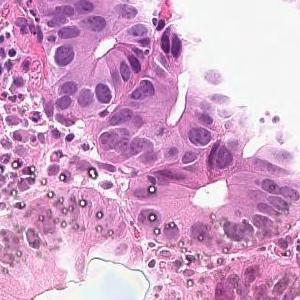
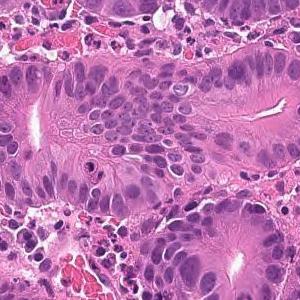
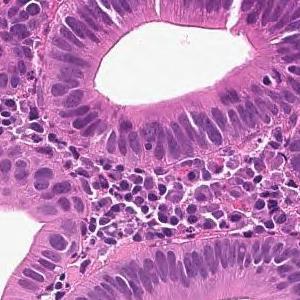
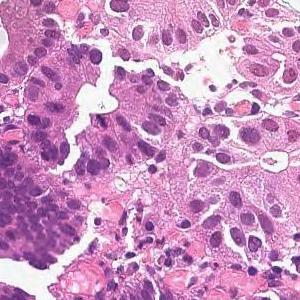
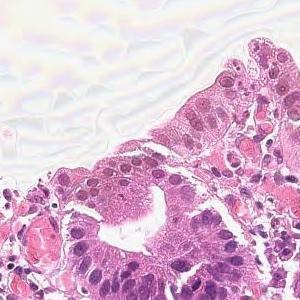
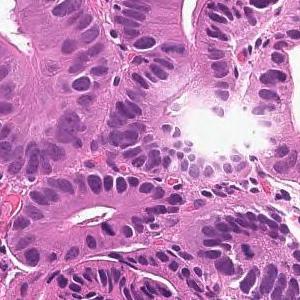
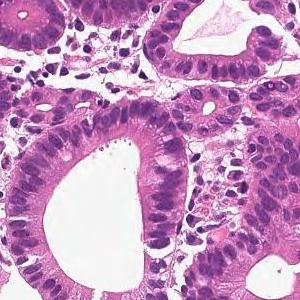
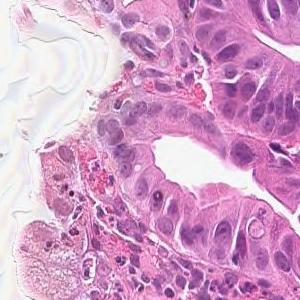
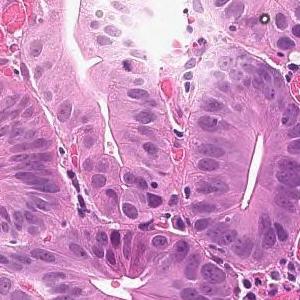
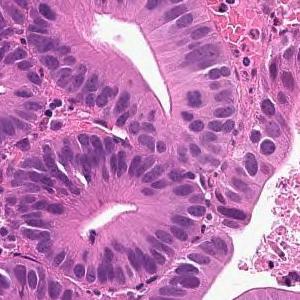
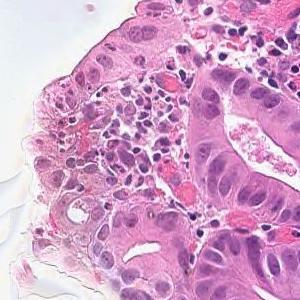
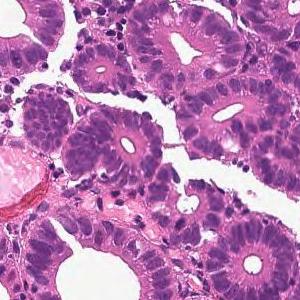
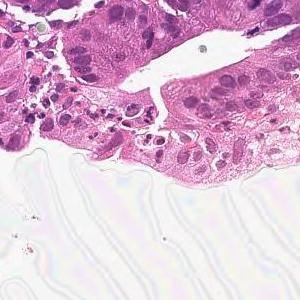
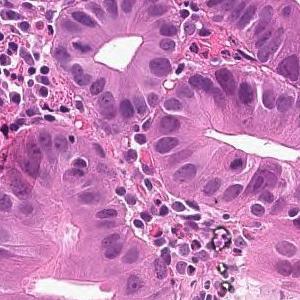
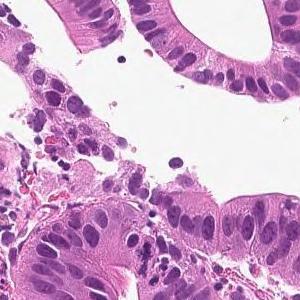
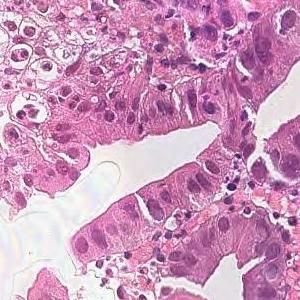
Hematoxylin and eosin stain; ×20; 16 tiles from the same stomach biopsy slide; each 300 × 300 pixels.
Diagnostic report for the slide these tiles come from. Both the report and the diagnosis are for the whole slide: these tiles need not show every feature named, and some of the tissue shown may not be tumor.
From the superficial epithelium to the muscularis mucosae, tumor tissue consisting of medium-sized and irregular glandular ducts infiltrating is observed. Well differentiated tubular adenocarcinoma
